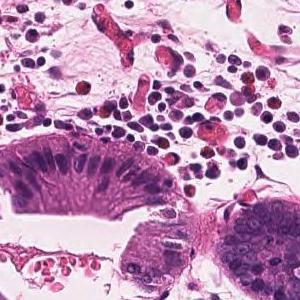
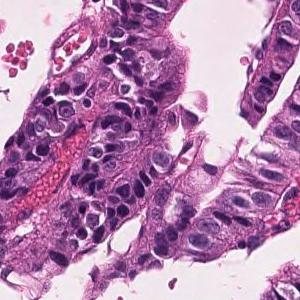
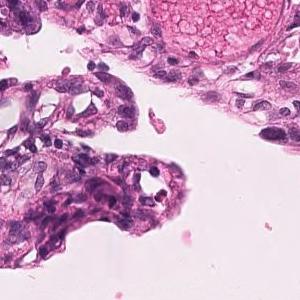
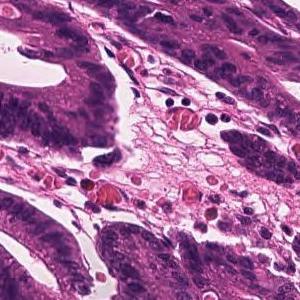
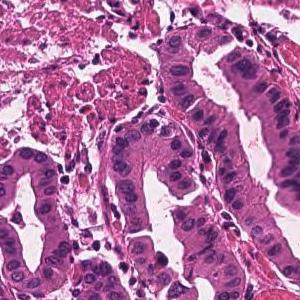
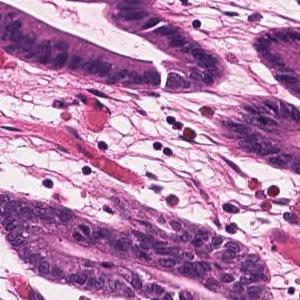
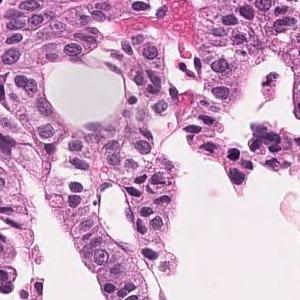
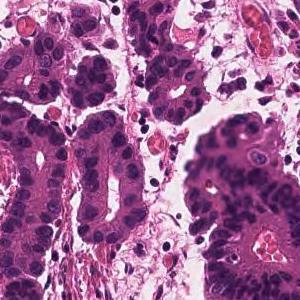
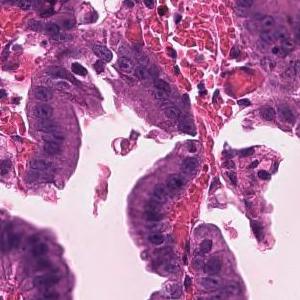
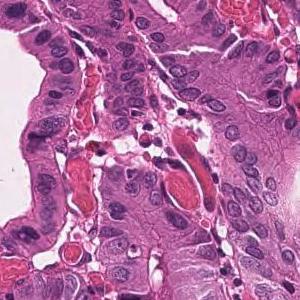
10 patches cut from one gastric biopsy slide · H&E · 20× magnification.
Diagnostic report for the slide these tiles come from. The report and the diagnosis describe the slide as a whole, so these tiles may not show every feature named and may include non-tumor tissue.
Infiltrating tumor tissue with medium-sized, irregular ductal structure or large papillary appearance is observed. Well differentiated tubular adenocarcinoma
